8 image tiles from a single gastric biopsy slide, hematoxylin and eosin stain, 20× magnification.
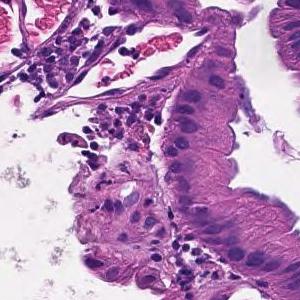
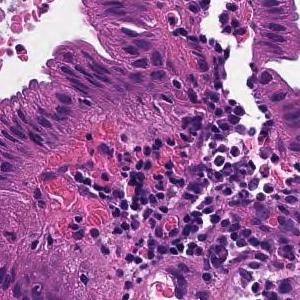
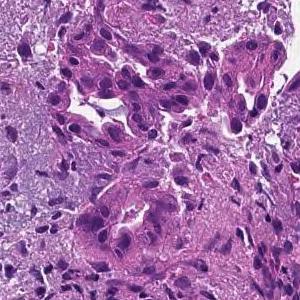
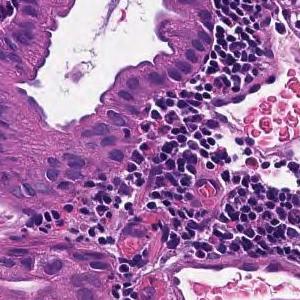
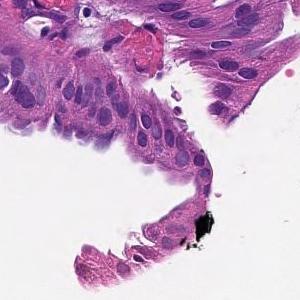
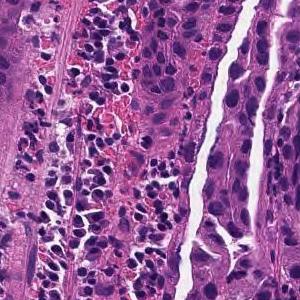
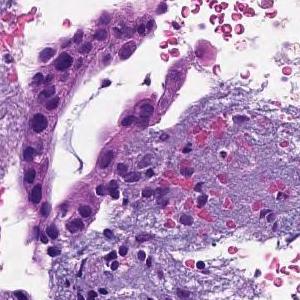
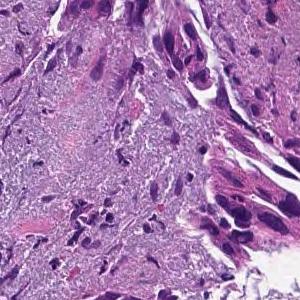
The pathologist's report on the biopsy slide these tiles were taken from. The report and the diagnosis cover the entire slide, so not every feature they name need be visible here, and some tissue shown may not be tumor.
On the superficial epithelium, tumor tissue that infiltrates by forming medium-sized papillary or small irregular ducts is observed. Papillary adenocarcinoma
